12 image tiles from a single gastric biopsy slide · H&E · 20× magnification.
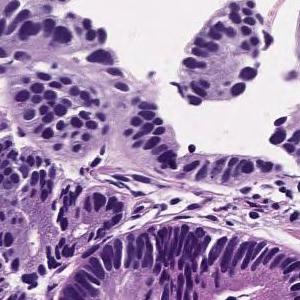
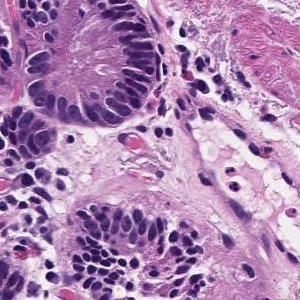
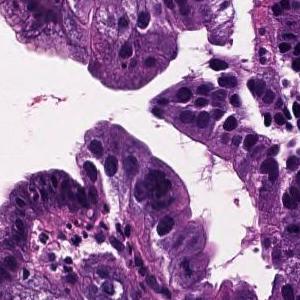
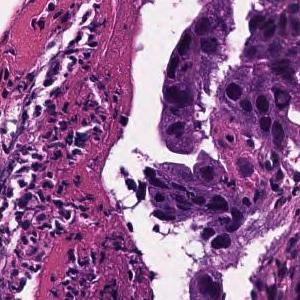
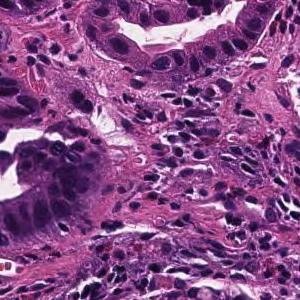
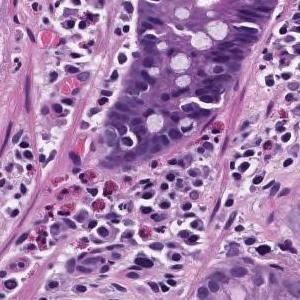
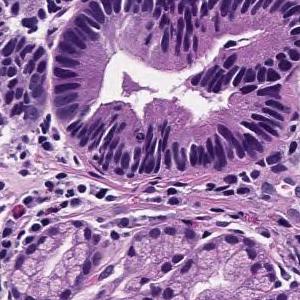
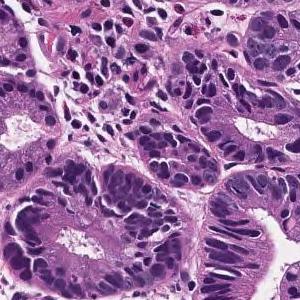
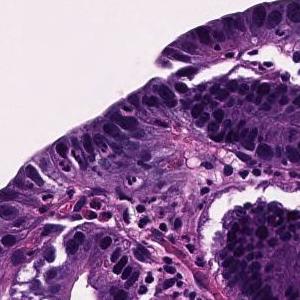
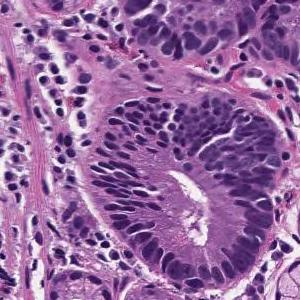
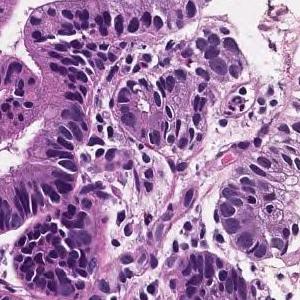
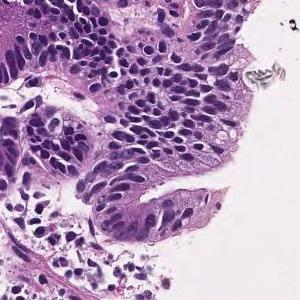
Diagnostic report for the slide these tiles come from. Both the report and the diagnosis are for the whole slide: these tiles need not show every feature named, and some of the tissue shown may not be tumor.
Tumor cells are large, highly columnar, large club-shaped nuclei, and are associated with chromatin aggregation. Papillary adenocarcinoma.
